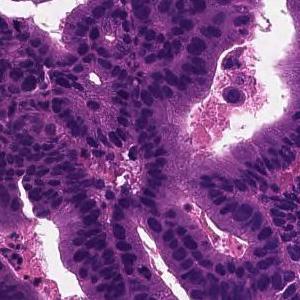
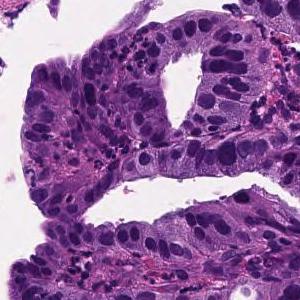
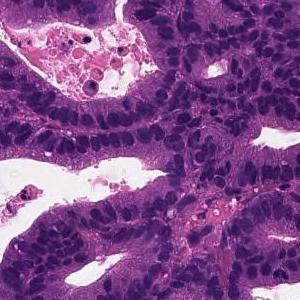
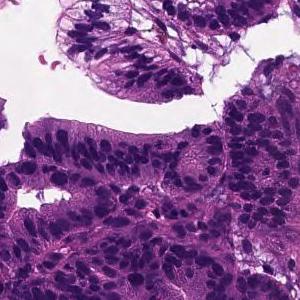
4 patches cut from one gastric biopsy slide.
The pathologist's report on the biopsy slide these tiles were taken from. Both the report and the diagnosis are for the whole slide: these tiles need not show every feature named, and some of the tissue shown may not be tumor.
Tumor cells are large, highly columnar, large club-shaped nuclei, and are associated with chromatin aggregation. Papillary adenocarcinoma.
